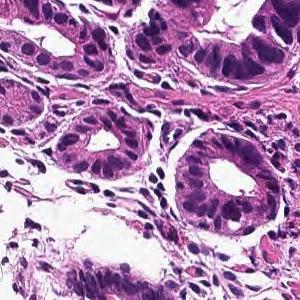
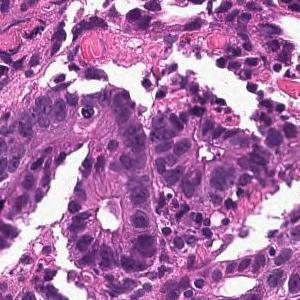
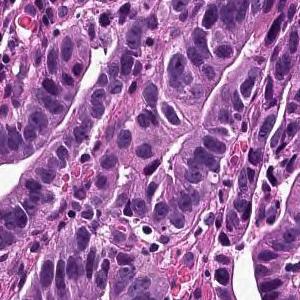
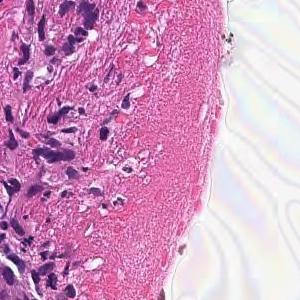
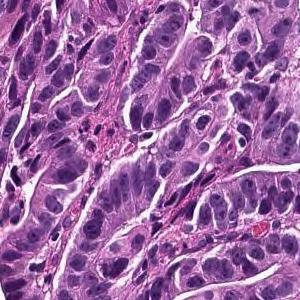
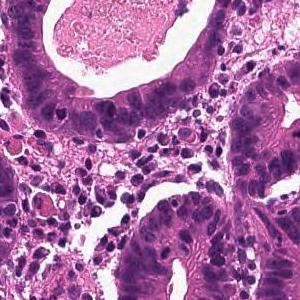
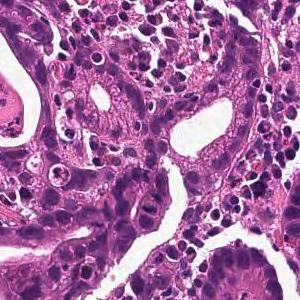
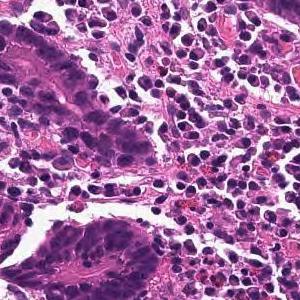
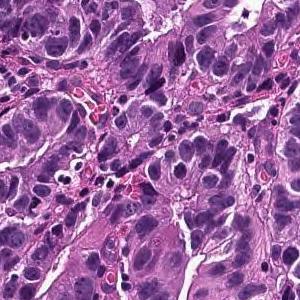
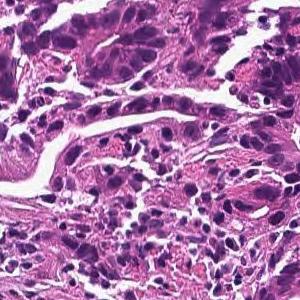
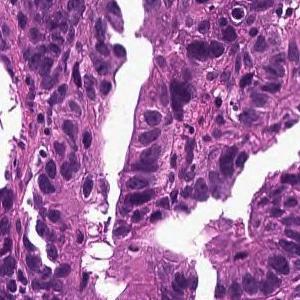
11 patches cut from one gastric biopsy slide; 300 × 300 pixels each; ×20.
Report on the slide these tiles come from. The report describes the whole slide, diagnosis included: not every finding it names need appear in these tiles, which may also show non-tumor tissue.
On the superficial epithelium, tumor tissue consisting of large, irregular glandular ducts partially fused and infiltrated is observed. Well to moderately differentiated tubular adenocarcinoma (well differentiated tubular adenocarcinoma, moderately differentiated tubular adenocarcinoma)
Tumor subtype: well to moderately differentiated tubular adenocarcinoma.
